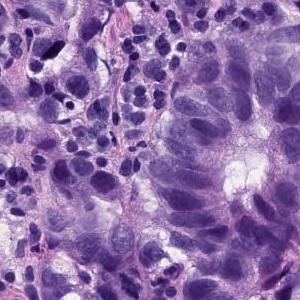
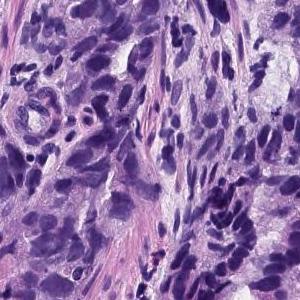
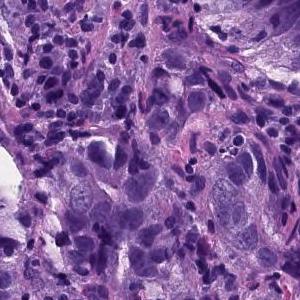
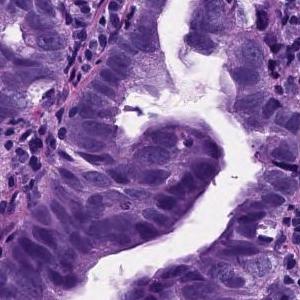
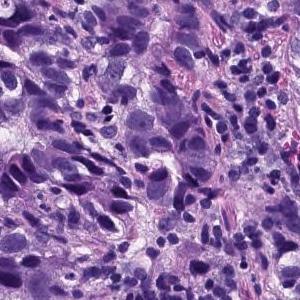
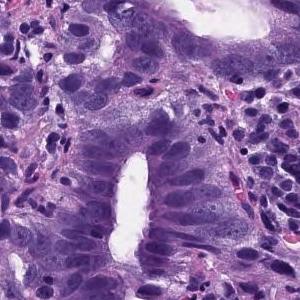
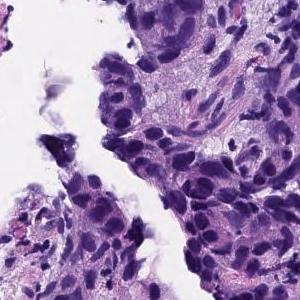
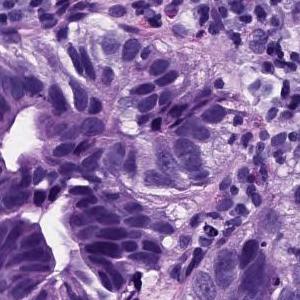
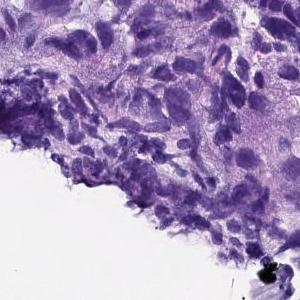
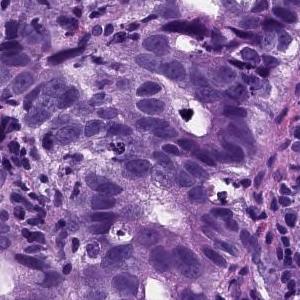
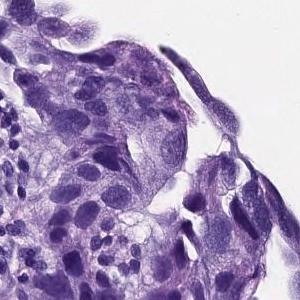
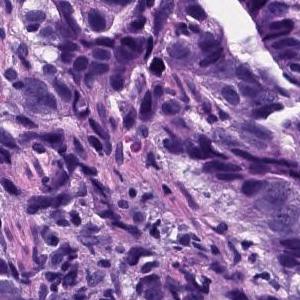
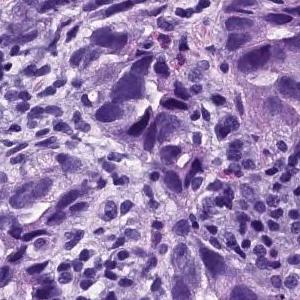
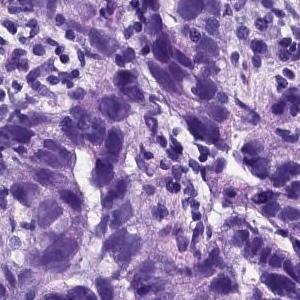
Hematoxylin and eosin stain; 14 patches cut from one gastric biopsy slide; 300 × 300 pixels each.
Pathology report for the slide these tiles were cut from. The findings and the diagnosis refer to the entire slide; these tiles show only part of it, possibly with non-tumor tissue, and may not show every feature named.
In the superficial epithelium, tumor tissue that invades by forming medium-sized to small, irregular ducts is observed. Moderately differentiated adenocarcinoma.
Tumor subtype: moderately differentiated tubular adenocarcinoma.
